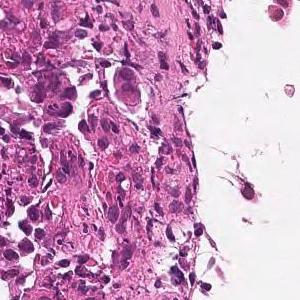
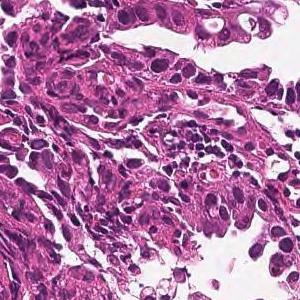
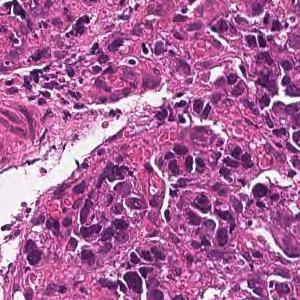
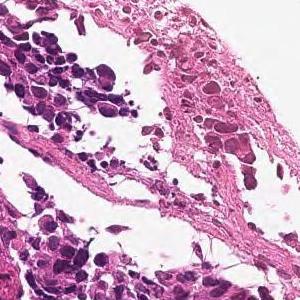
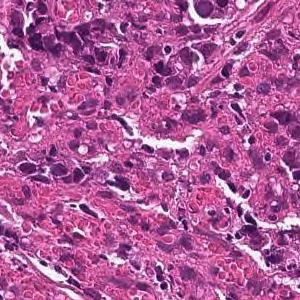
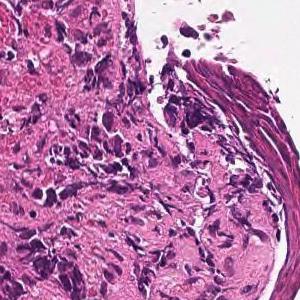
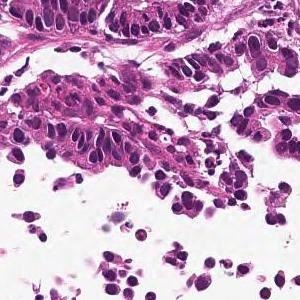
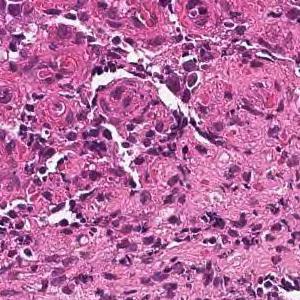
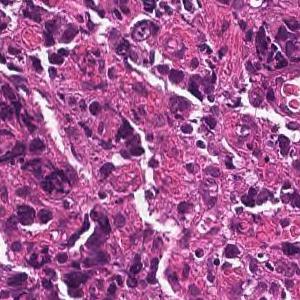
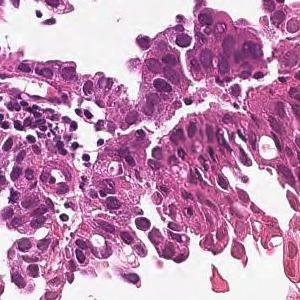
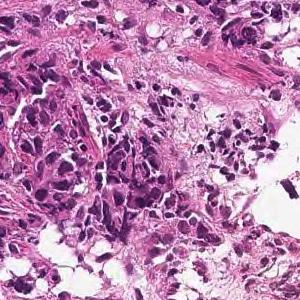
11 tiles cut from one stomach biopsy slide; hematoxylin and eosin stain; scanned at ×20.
Pathology report for the slide these tiles were cut from. Both the report and the diagnosis are for the whole slide: these tiles need not show every feature named, and some of the tissue shown may not be tumor.
Tumor tissue consisting of medium-sized, cord-like or irregular glandular infiltration is observed in the superficial epithelium. Poorly differentiated adenocarcinoma, non-solid type or moderately differentiated tubular adenocarcinoma
Histological subtype: Moderately to poorly differentiated adenocarcinoma.
"Non-solid type" is a category of the Japanese Classification of Gastric Carcinoma.
